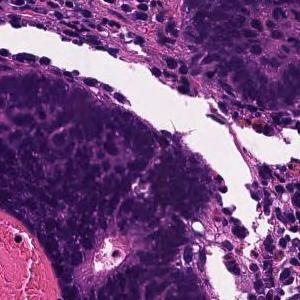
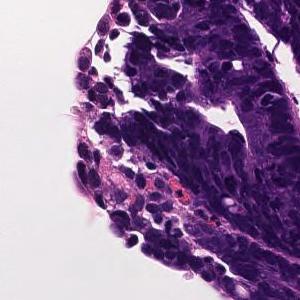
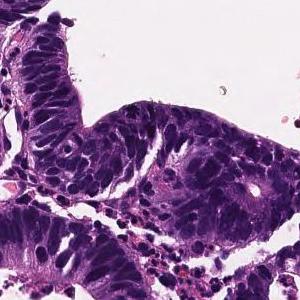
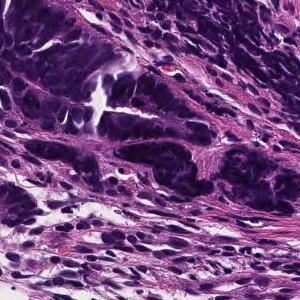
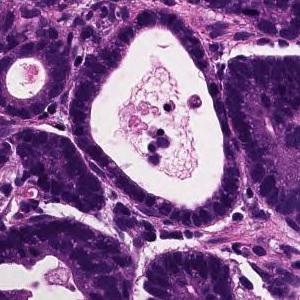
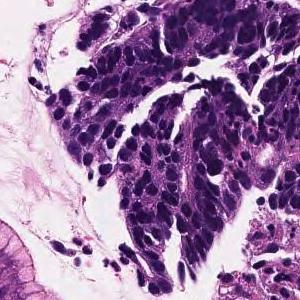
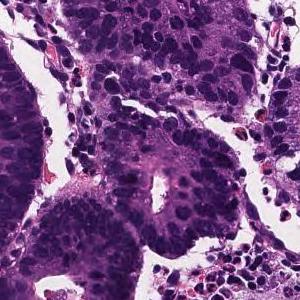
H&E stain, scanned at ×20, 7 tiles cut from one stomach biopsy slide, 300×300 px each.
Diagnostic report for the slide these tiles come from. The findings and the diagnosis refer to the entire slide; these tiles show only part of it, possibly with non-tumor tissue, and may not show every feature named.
On the superficial epithelium, tumor tissue consisting of medium-sized and irregular glandular ducts partially fused and infiltrated is observed. Well to moderately differentiated tubular adenocarcinoma (well differentiated tubular adenocarcinoma, moderately differentiated tubular adenocarcinoma)
Histological subtype: Well to moderately differentiated tubular adenocarcinoma.
